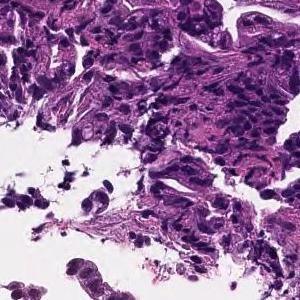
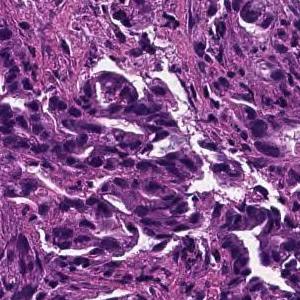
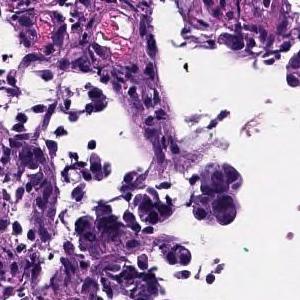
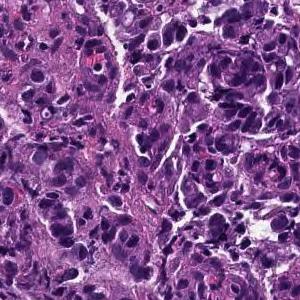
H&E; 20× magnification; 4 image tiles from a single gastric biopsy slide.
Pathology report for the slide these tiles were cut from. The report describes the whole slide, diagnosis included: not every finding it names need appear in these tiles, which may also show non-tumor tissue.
Tumor tissue consisting of medium-sized, cord-like or irregular glandular infiltration is observed in the superficial epithelium. Poorly differentiated adenocarcinoma, non-solid type or moderately differentiated tubular adenocarcinoma
Histological subtype: Moderately to poorly differentiated adenocarcinoma.
The term "non-solid type" comes from the Japanese Classification of Gastric Carcinoma.
